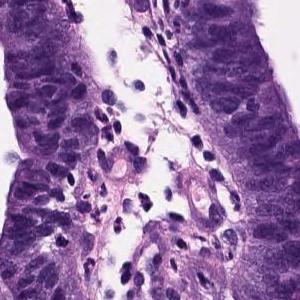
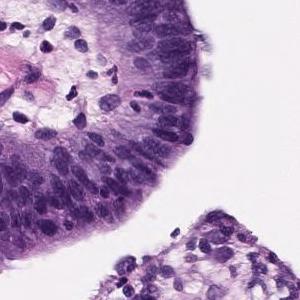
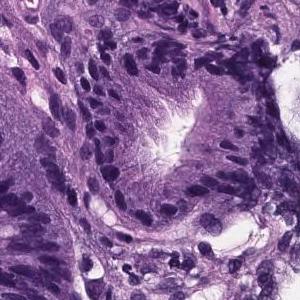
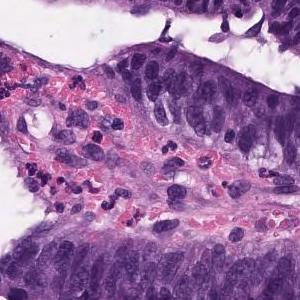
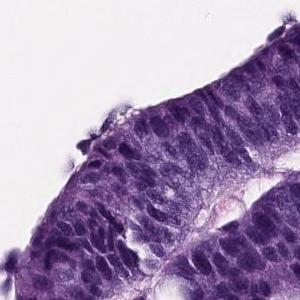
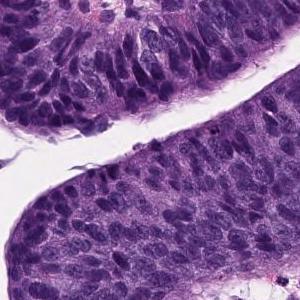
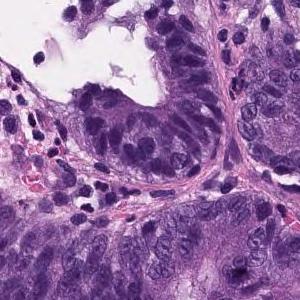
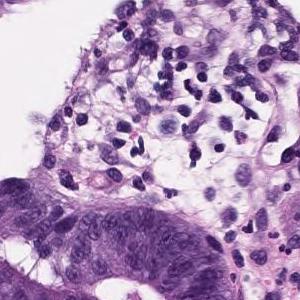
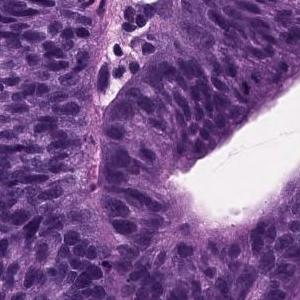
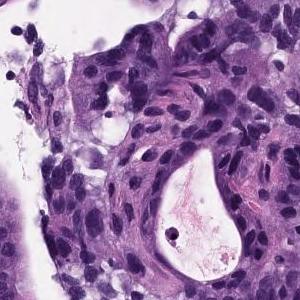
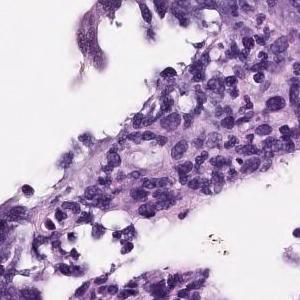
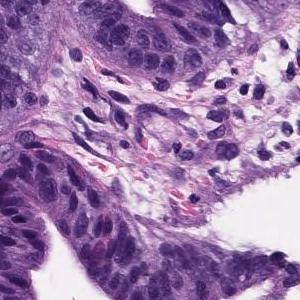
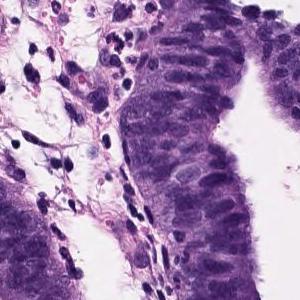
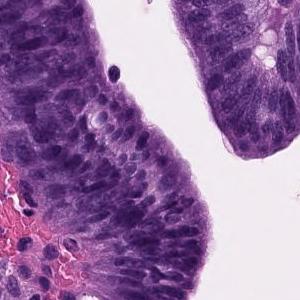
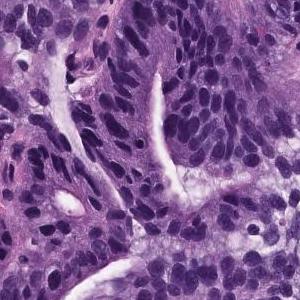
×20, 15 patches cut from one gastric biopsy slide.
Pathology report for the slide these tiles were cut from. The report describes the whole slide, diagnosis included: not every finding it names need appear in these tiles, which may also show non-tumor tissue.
Papillo-tubular growth of atypical tubules with nuclear swelling is observed. Well differentiated tubular adenocarcinoma
